11 tiles cut from one stomach biopsy slide · 20× magnification · H&E stain.
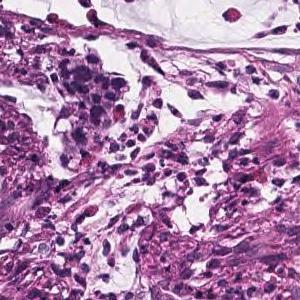
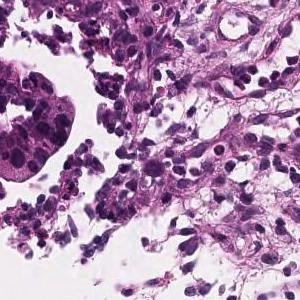
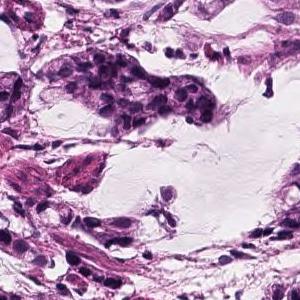
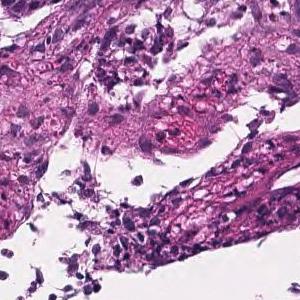
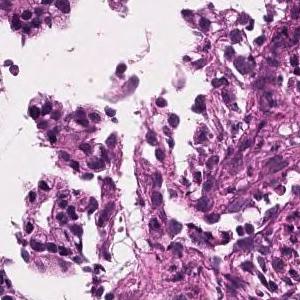
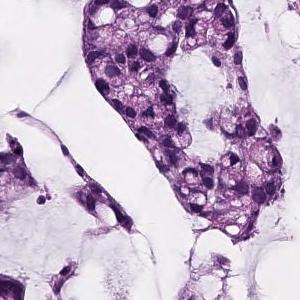
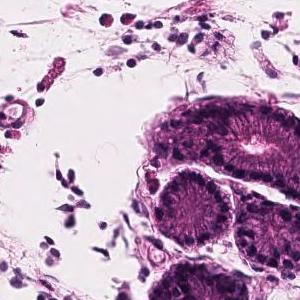
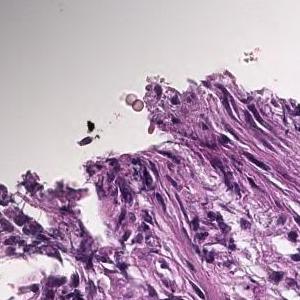
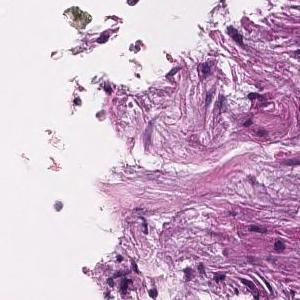
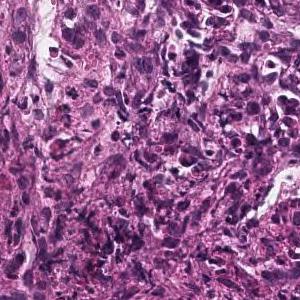
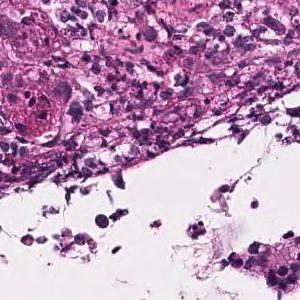
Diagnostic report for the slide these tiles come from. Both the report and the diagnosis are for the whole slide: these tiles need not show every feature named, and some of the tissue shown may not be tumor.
Atypical epithelial cells form obscure ductal structures or small solid follicles, and tumor tissue that proliferates invasively with proliferation of inflammatory granulation tissue is observed. Mucinous adenocarcinoma .
